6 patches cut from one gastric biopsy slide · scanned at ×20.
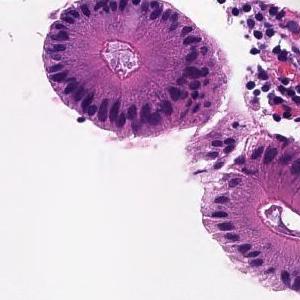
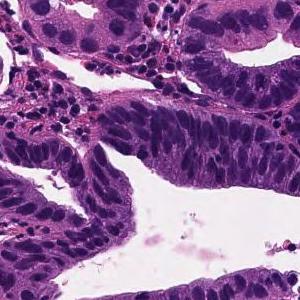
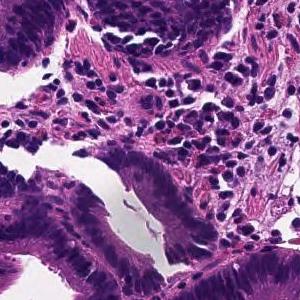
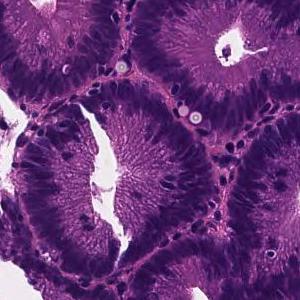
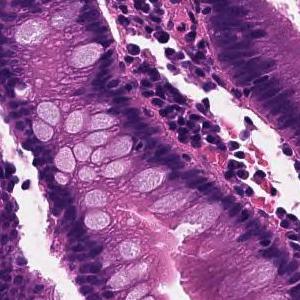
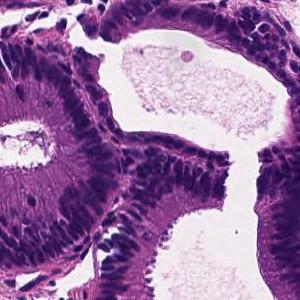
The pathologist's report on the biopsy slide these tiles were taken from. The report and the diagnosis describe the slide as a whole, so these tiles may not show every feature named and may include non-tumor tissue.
Tumor tissue in which medium to small irregular ducts infiltrate and proliferate in the submucosa can be seen in the epithelium. Well differentiated tubular adenocarcinoma
